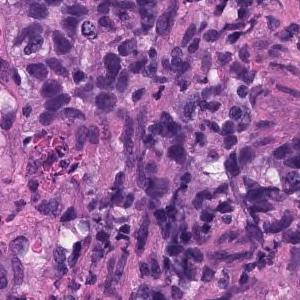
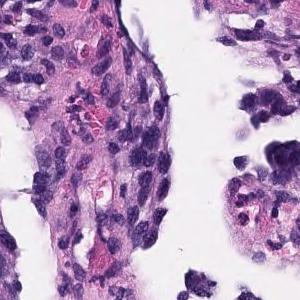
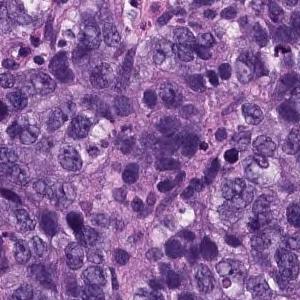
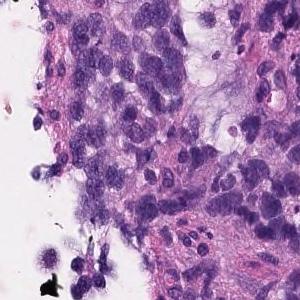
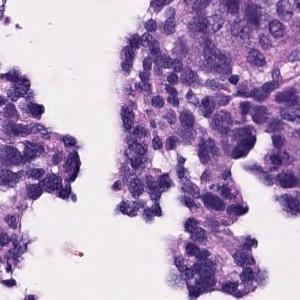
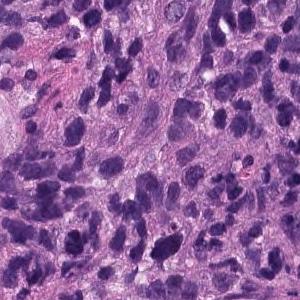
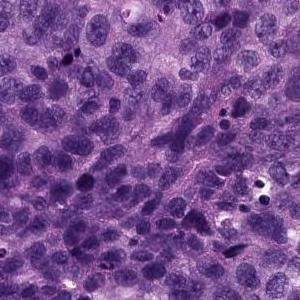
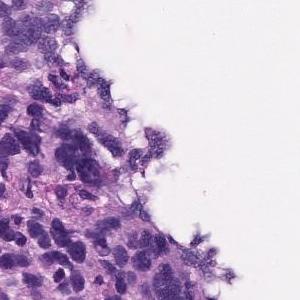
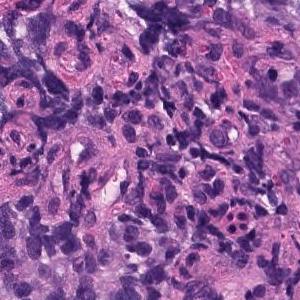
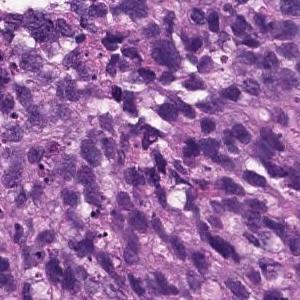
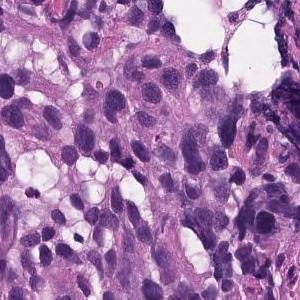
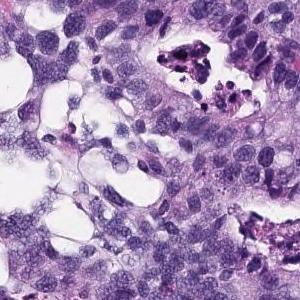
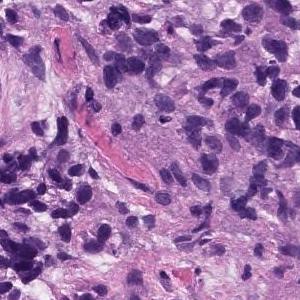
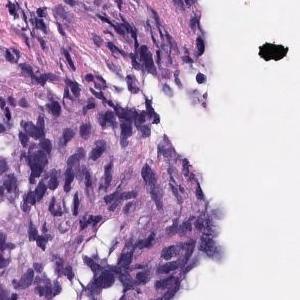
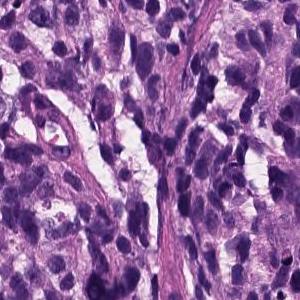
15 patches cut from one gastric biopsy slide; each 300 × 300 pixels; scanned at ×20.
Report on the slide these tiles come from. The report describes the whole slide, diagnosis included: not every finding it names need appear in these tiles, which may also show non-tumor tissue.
Atypical l cells with atypical nuclei under the mucosa growing in isolation and scattered. Poorly differentiated adenocarcinoma (poorly differentiated adenocarcinoma, non-solid type)
Histological subtype: Poorly differentiated adenocarcinoma, non-solid type.
The term "non-solid type" comes from the Japanese Classification of Gastric Carcinoma.
